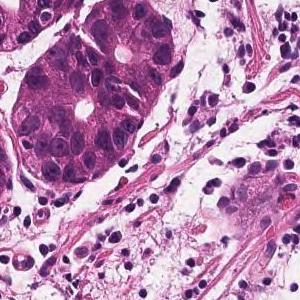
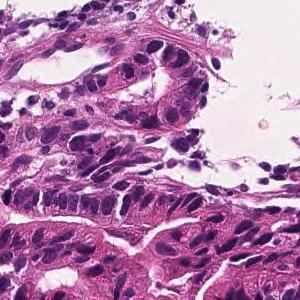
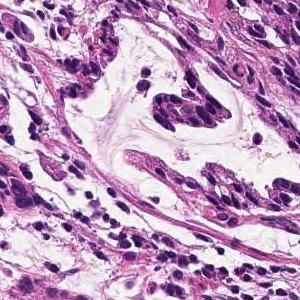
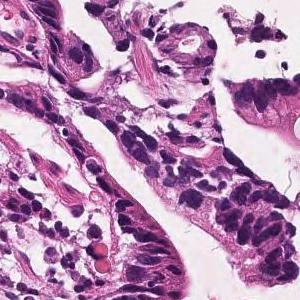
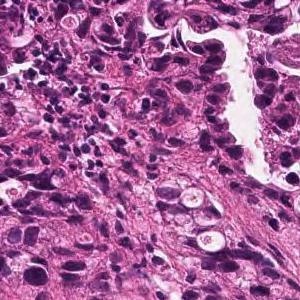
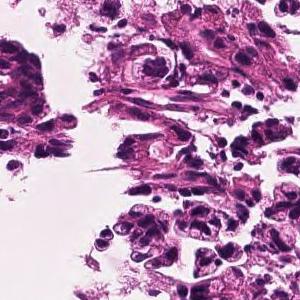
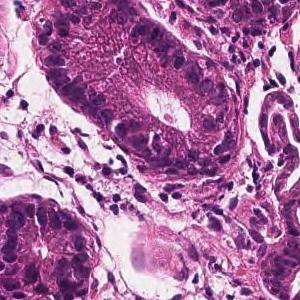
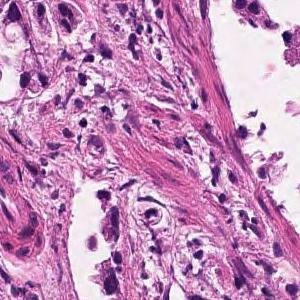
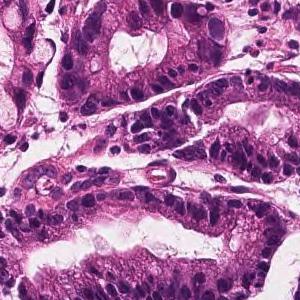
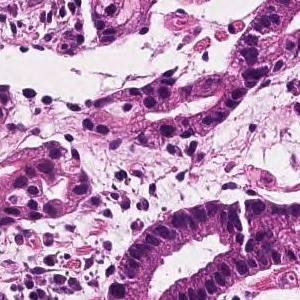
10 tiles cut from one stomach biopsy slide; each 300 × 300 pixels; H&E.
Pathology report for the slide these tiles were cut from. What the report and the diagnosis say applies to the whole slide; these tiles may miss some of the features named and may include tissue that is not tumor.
In the superficial epithelium, tumor tissue that invades by forming medium-sized to small, irregular ducts is observed. moderately differentiated tubular adenocarcinoma.
